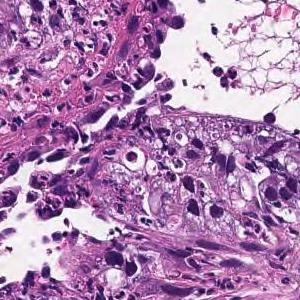
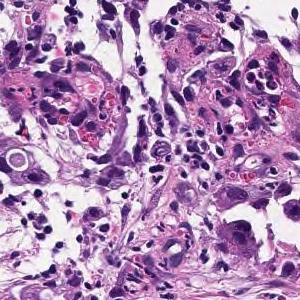
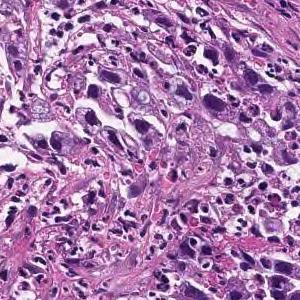
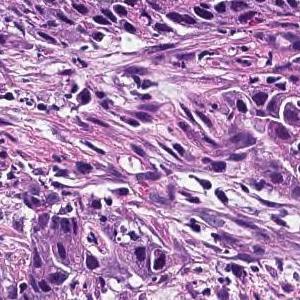
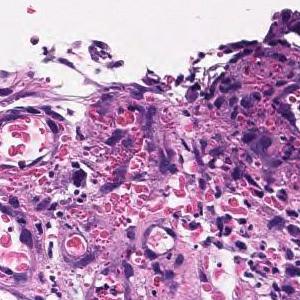
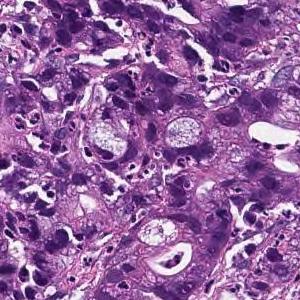
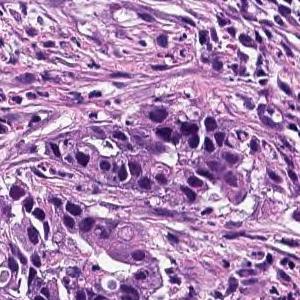
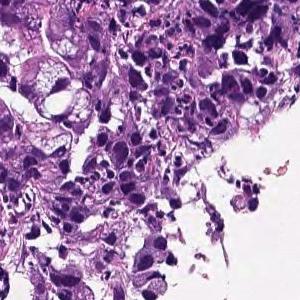
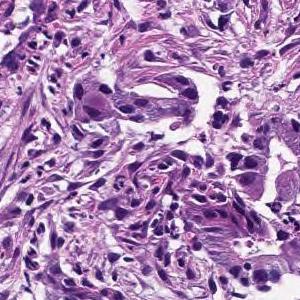
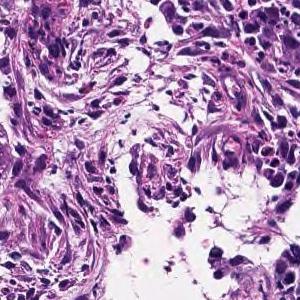
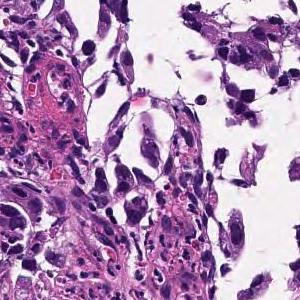
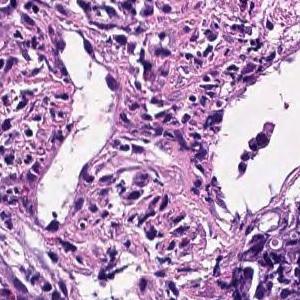
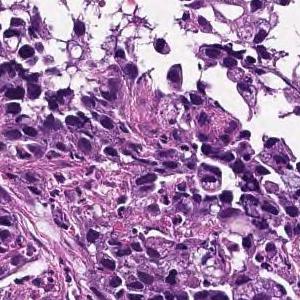
13 tiles cut from one stomach biopsy slide, 300×300 px each, scanned at ×20, H&E.
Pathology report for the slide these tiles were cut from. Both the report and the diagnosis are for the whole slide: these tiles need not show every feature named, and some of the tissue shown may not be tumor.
Medium to small, irregular glandular ducts are formed in the superficial epithelium, and in some cases, the glandular ducts are fused to show solid alveolar lesions and infiltrating tumor tissue is observed. Moderately to poorly differentiated adenocarcinoma.
